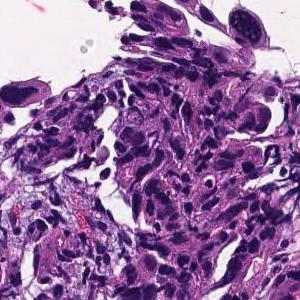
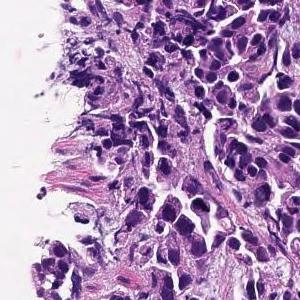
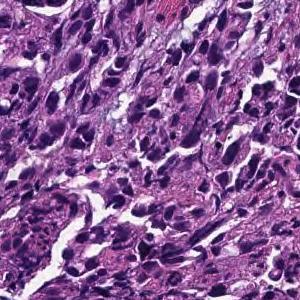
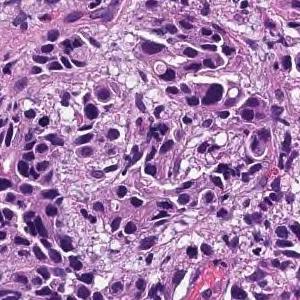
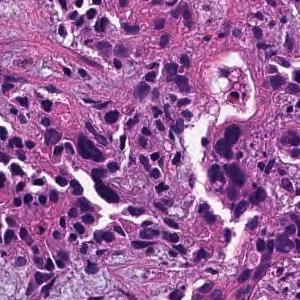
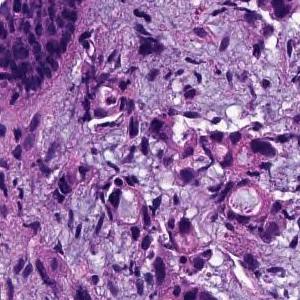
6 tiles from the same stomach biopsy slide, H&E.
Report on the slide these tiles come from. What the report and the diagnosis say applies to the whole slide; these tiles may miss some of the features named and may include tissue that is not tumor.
Tumor tissue consisting of cord-like or small, irregular glandular ducts fused and infiltrated is observed in the superficial epithelium. Poorly differentiated adenocarcinoma, non-solid type
The term "non-solid type" comes from the Japanese Classification of Gastric Carcinoma.
